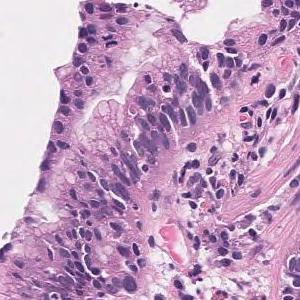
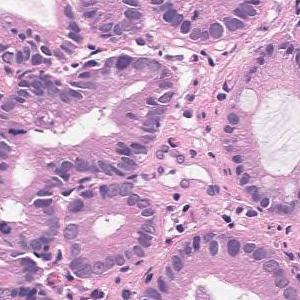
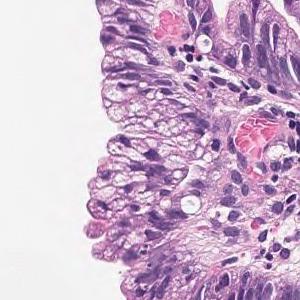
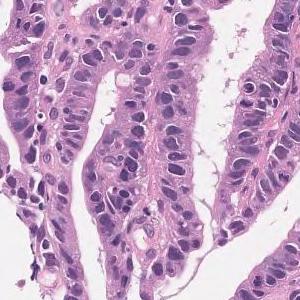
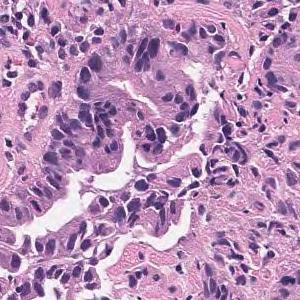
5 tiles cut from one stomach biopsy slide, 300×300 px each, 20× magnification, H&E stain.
Pathology report for the biopsy slide these tiles were cut from. What the report and the diagnosis say applies to the whole slide; these tiles may miss some of the features named and may include tissue that is not tumor.
Tumor tissue that grows tubular from the surface to the glandular fossa is seen. Adenocarcinoma.
Histological subtype: Well differentiated tubular adenocarcinoma.
